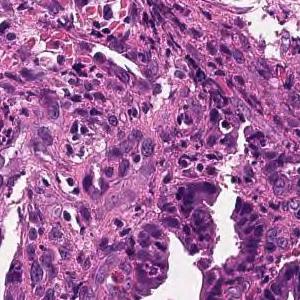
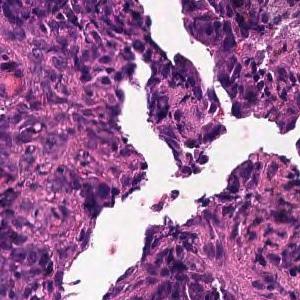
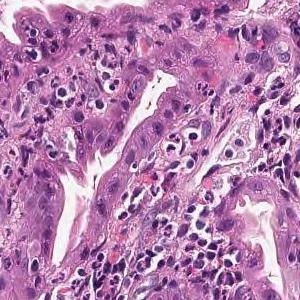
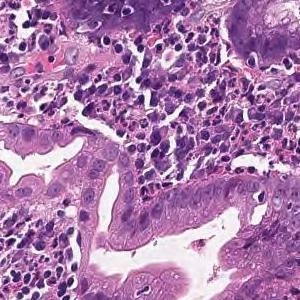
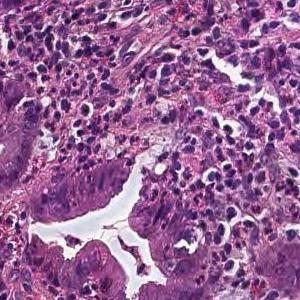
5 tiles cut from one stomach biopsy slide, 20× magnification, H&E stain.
Pathology report for the biopsy slide these tiles were cut from. The report and the diagnosis cover the entire slide, so not every feature they name need be visible here, and some tissue shown may not be tumor.
From the superficial epithelium to the muscularis mucosae, tumor tissue consisting of medium-sized and irregular glandular ducts infiltrating is observed. Well differentiated tubular adenocarcinoma
